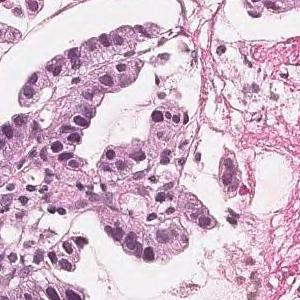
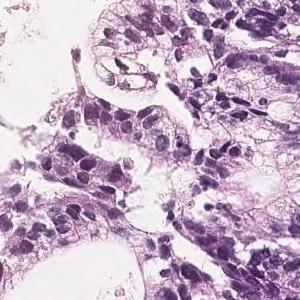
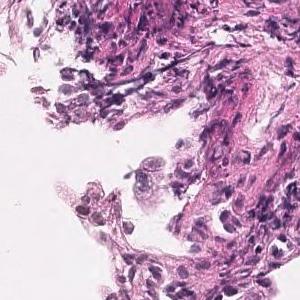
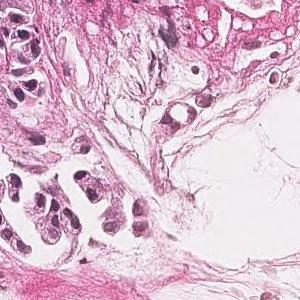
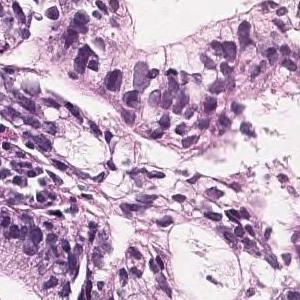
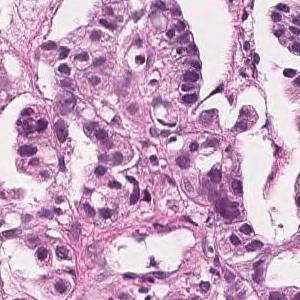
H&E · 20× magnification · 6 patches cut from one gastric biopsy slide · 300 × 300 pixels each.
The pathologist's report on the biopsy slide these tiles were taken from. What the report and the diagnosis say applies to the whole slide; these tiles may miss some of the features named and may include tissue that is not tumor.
Tumor cells are large, highly columnar, large club-shaped nuclei, and are associated with chromatin aggregation. Papillary adenocarcinoma.
